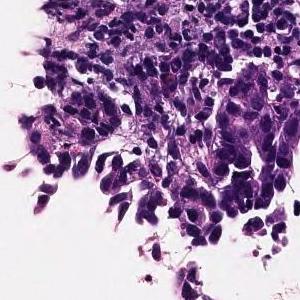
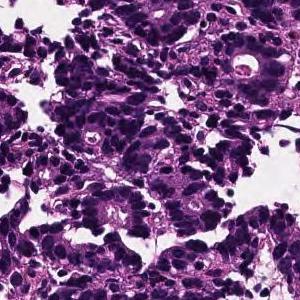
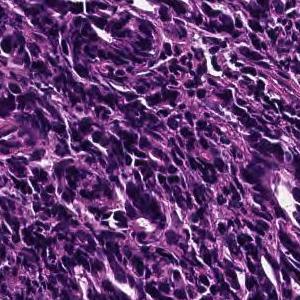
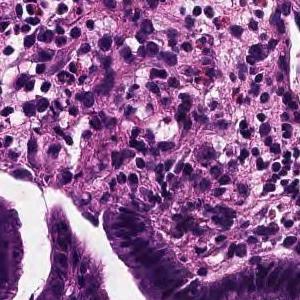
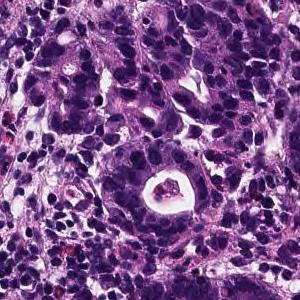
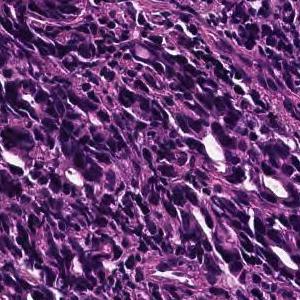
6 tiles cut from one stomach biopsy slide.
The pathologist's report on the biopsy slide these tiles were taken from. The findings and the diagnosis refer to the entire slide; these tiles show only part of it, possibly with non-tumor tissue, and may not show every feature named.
On the superficial epithelium, tumor tissue is found in which medium-sized irregular gland ducts fuse with each other and infiltrate. moderately differentiated tubular adenocarcinoma or Poorly differentiated adenocarcinoma, non-solid type
Histologic type: Moderately to poorly differentiated adenocarcinoma.
The term "non-solid type" comes from the Japanese Classification of Gastric Carcinoma.
